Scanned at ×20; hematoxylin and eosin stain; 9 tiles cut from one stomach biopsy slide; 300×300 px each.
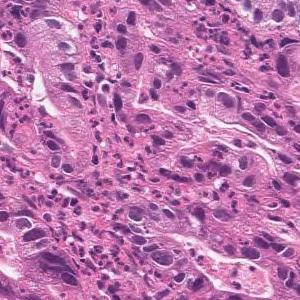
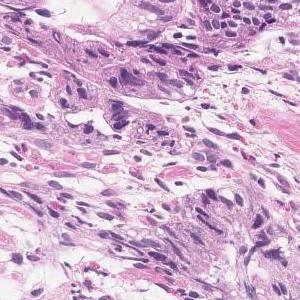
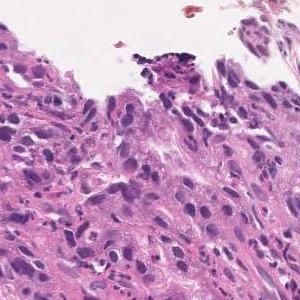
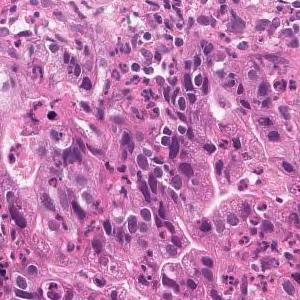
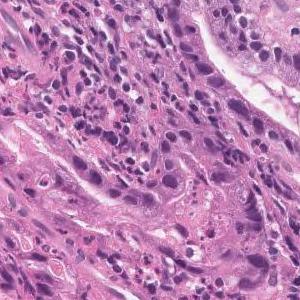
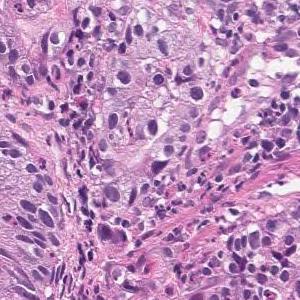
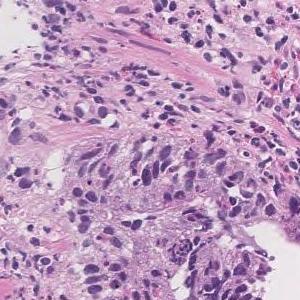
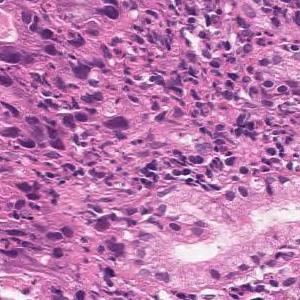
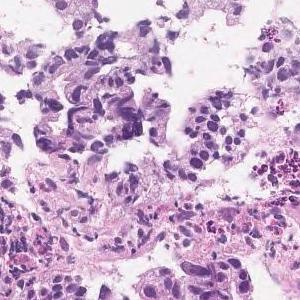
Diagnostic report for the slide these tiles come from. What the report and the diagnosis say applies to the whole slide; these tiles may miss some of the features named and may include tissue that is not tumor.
In the superficial epithelium, tumor tissue that invades by forming medium-sized to small, irregular ducts is observed. Moderately differentiated adenocarcinoma.
Histologic type: Moderately differentiated tubular adenocarcinoma.
